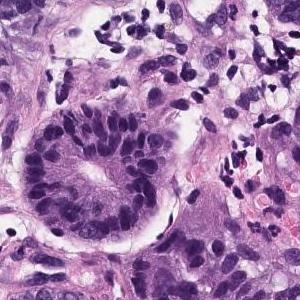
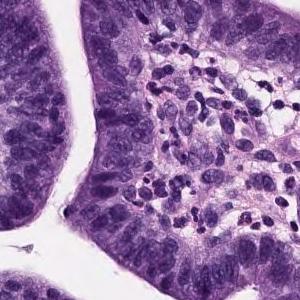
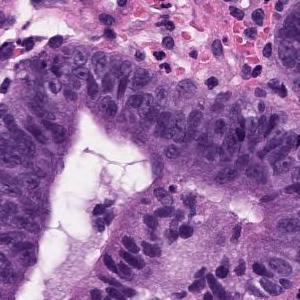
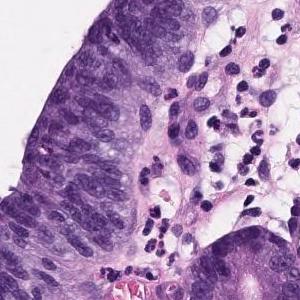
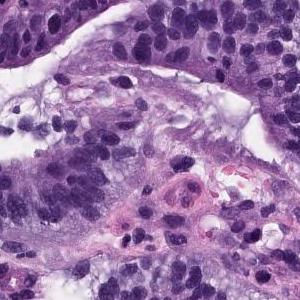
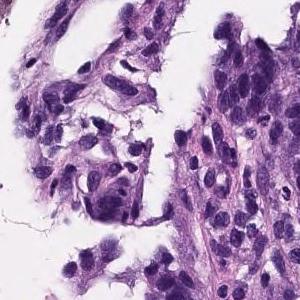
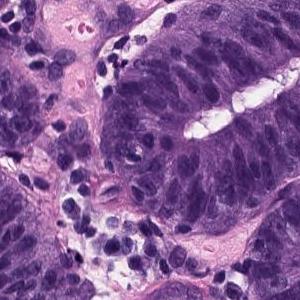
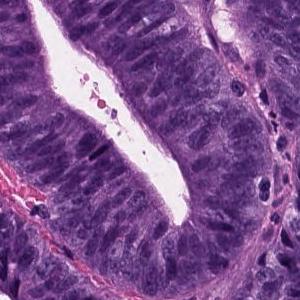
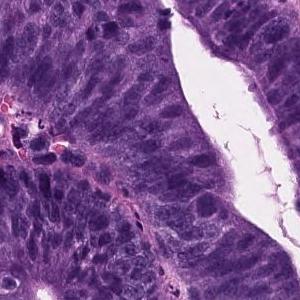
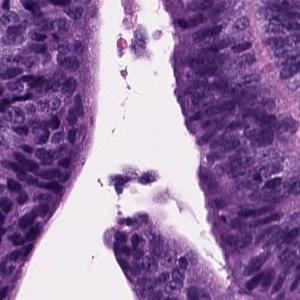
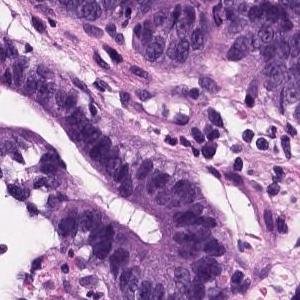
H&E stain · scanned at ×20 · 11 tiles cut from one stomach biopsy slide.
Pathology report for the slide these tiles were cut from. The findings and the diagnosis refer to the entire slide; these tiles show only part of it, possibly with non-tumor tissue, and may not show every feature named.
Papillo-tubular growth of atypical tubules with nuclear swelling is observed. Well differentiated tubular adenocarcinoma
